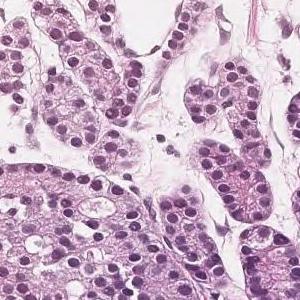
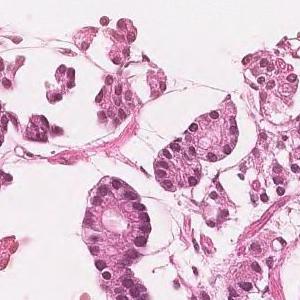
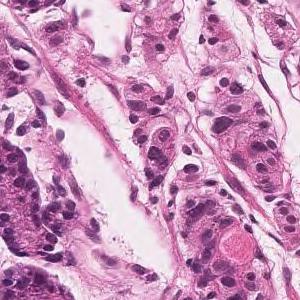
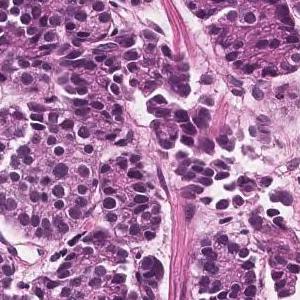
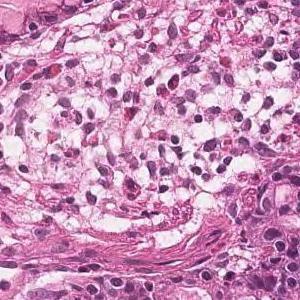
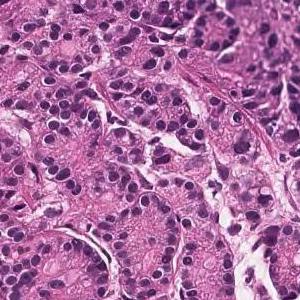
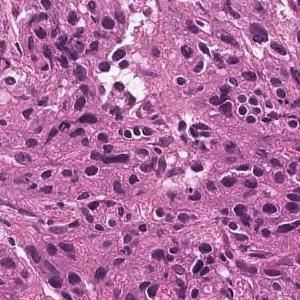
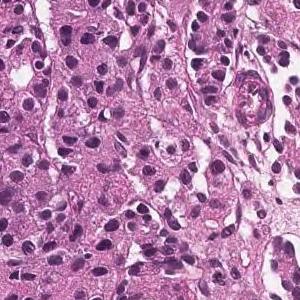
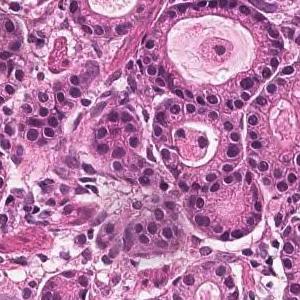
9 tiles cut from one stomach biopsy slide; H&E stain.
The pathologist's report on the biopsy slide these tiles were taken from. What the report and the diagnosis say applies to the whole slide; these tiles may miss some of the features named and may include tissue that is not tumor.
In the superficial epithelium, tumor tissue that invades by forming medium-sized to small, irregular ducts is observed. Moderately differentiated adenocarcinoma.
Tumor subtype: moderately differentiated tubular adenocarcinoma.
